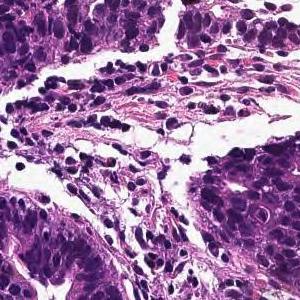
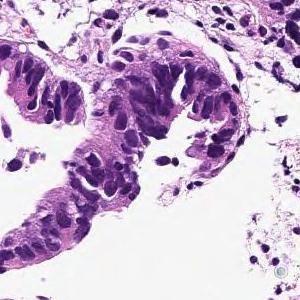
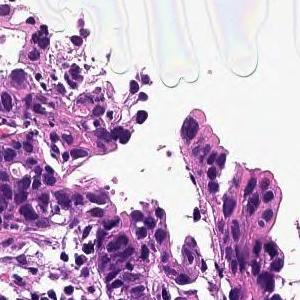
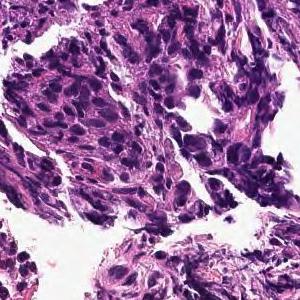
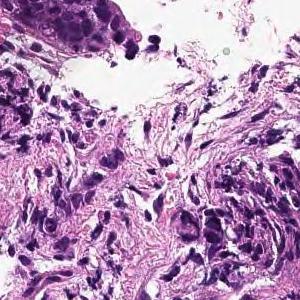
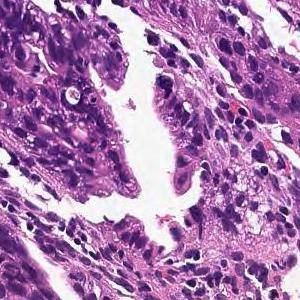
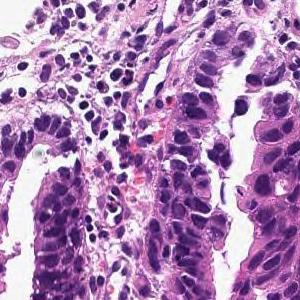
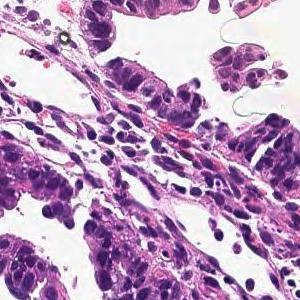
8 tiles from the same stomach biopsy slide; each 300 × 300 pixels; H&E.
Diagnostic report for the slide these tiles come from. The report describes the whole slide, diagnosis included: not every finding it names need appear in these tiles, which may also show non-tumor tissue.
In the superficial epithelium, tumor tissue that invades by forming medium-sized to small, irregular ducts is observed. moderately differentiated tubular adenocarcinoma.
